14 image tiles from a single gastric biopsy slide; ×20; H&E.
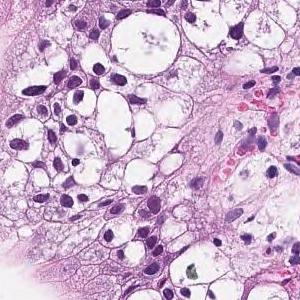
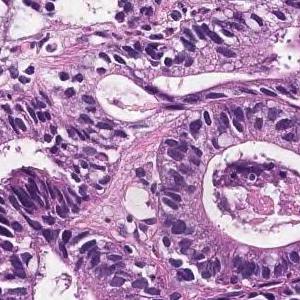
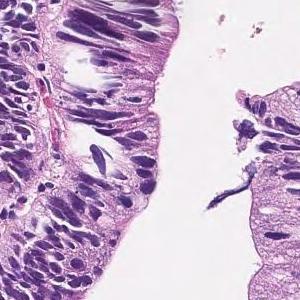
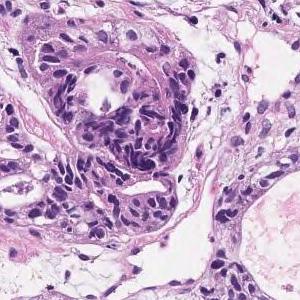
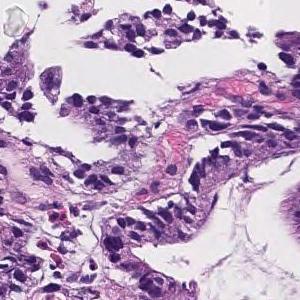
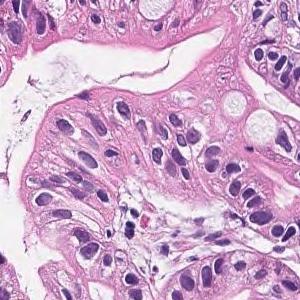
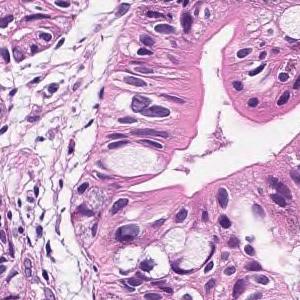
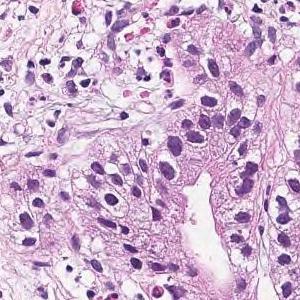
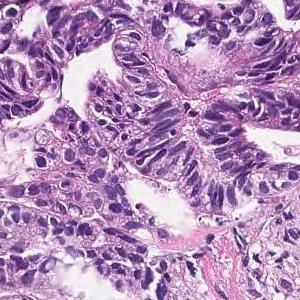
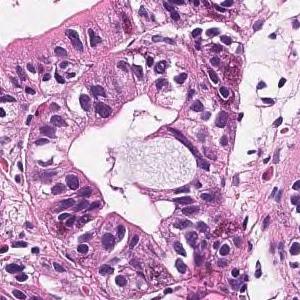
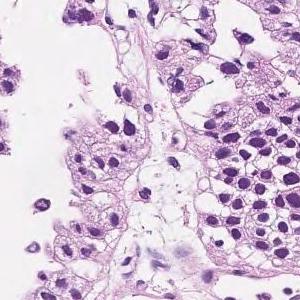
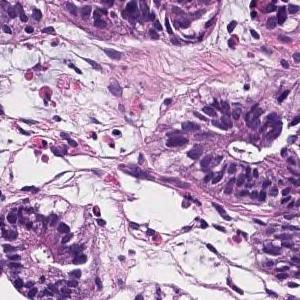
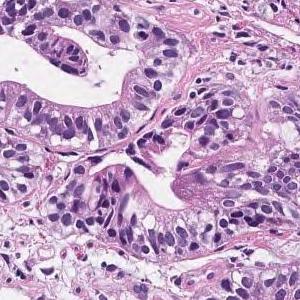
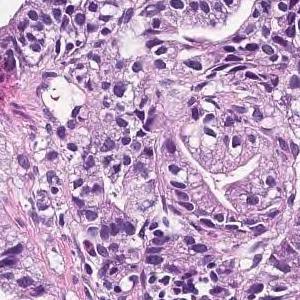
The pathologist's report on the biopsy slide these tiles were taken from. What the report and the diagnosis say applies to the whole slide; these tiles may miss some of the features named and may include tissue that is not tumor.
In the superficial epithelium, tumor tissue that invades by forming medium-sized to small, irregular ducts is observed. Moderately differentiated adenocarcinoma.
Subtype: Moderately differentiated tubular adenocarcinoma.
